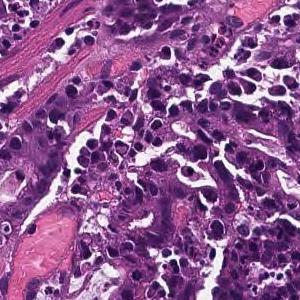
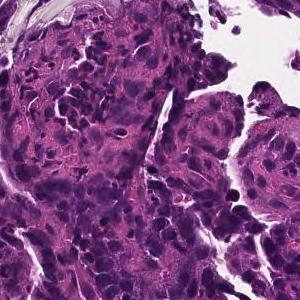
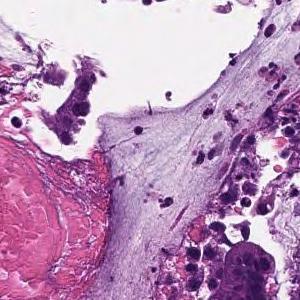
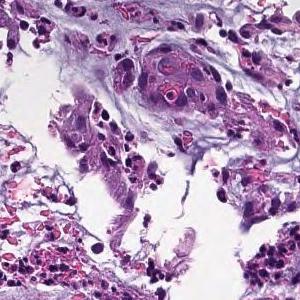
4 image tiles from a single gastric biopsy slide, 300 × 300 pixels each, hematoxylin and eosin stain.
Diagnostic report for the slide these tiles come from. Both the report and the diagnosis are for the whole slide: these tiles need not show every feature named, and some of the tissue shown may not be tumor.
On the superficial epithelium, tumor tissue consisting of large irregular glandular ducts partially fused and infiltrated is observed. Well to moderately differentiated tubular adenocarcinoma (well differentiated tubular adenocarcinoma, moderately differentiated tubular adenocarcinoma)
Histologic type: Well to moderately differentiated tubular adenocarcinoma.
